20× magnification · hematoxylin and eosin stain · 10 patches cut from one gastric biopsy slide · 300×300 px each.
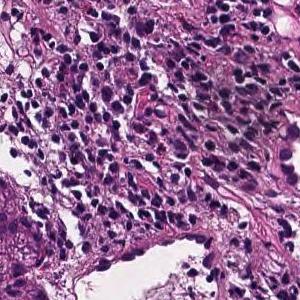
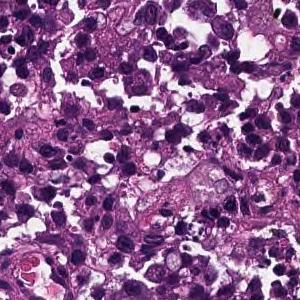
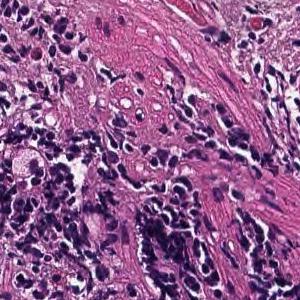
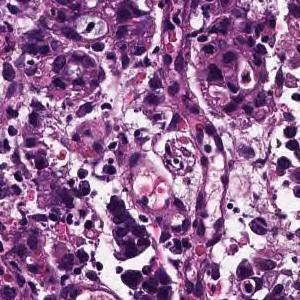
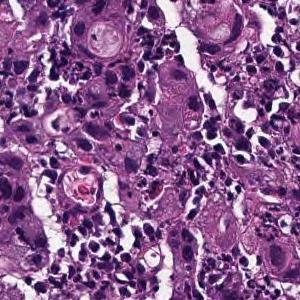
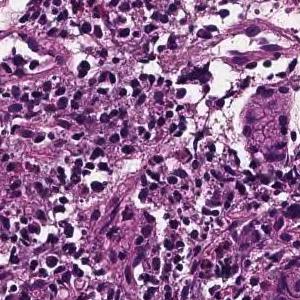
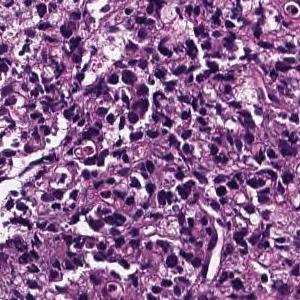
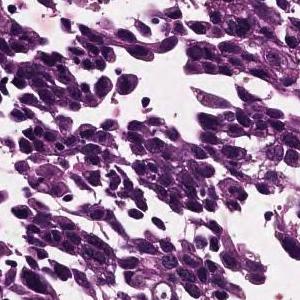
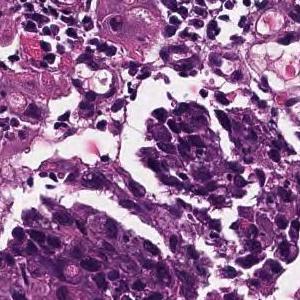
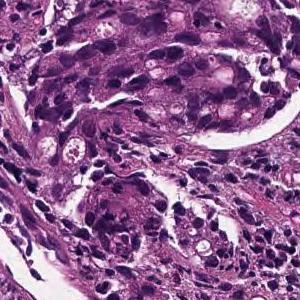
Diagnostic report for the slide these tiles come from. The findings and the diagnosis refer to the entire slide; these tiles show only part of it, possibly with non-tumor tissue, and may not show every feature named.
The superficial epithelium shows a large sheet-like shape, and some tumor tissue infiltrates with small irregular ducts. Poorly differentiated adenocarcinoma, solid-type
Subtype: Poorly differentiated adenocarcinoma, solid type. This name comes from the Japanese Classification of Gastric Carcinoma; the WHO 2019 classification calls it tubular adenocarcinoma, poorly differentiated.
